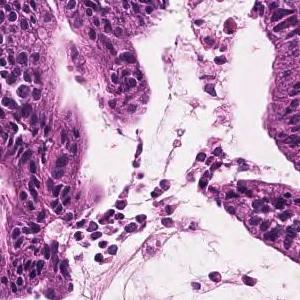
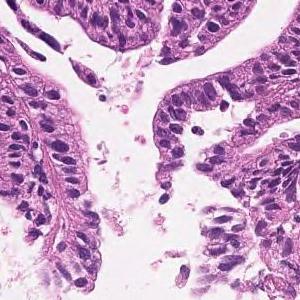
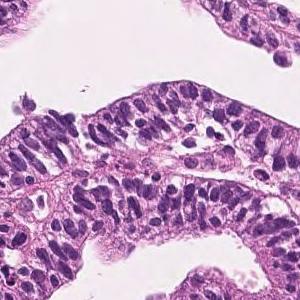
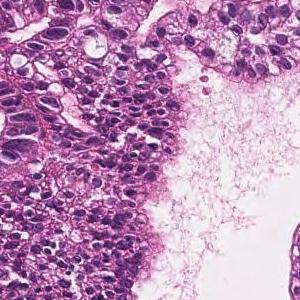
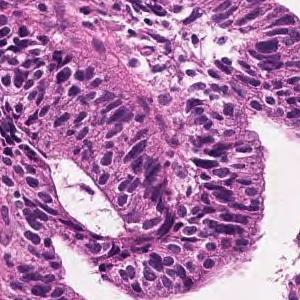
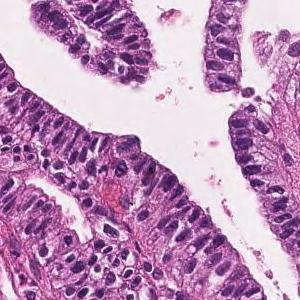
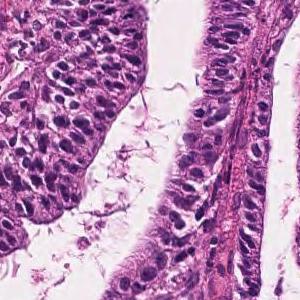
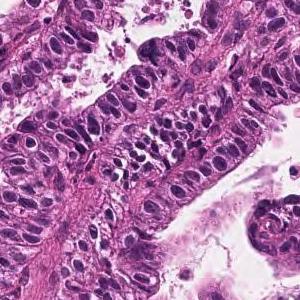
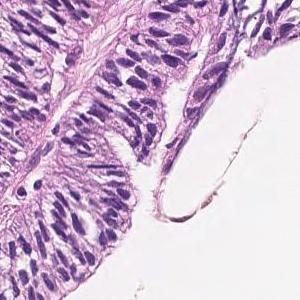
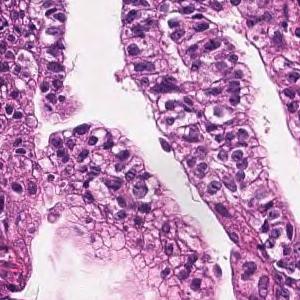
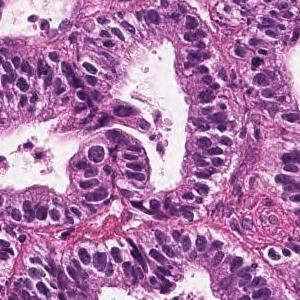
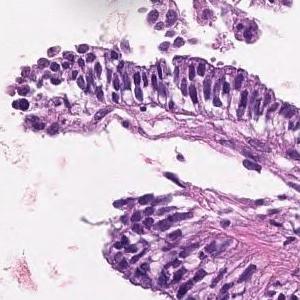
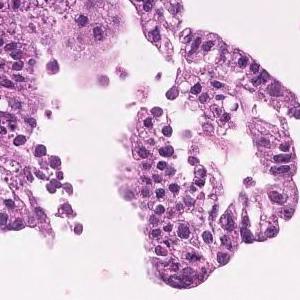
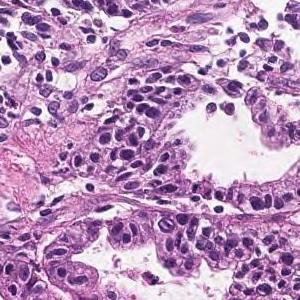
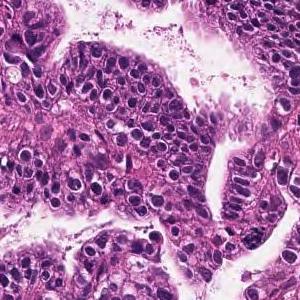
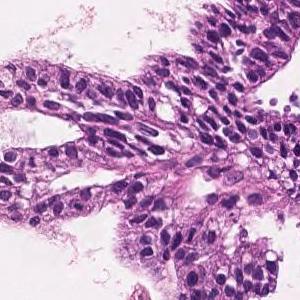
Hematoxylin and eosin stain, 20× magnification, 16 patches cut from one gastric biopsy slide, each 300 × 300 pixels.
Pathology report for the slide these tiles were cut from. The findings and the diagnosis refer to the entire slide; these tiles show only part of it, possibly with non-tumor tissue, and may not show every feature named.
Tumor cells are large, highly columnar, large club-shaped nuclei, and are associated with chromatin aggregation. Papillary adenocarcinoma.
